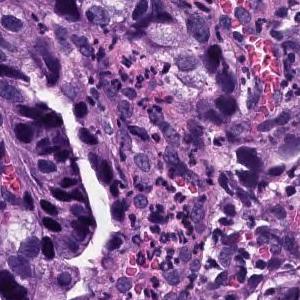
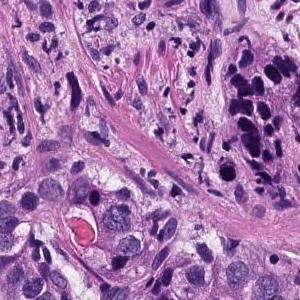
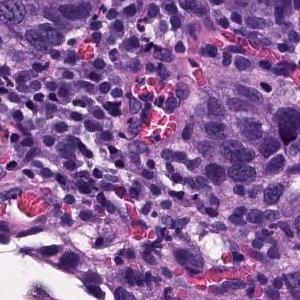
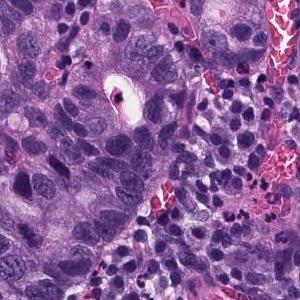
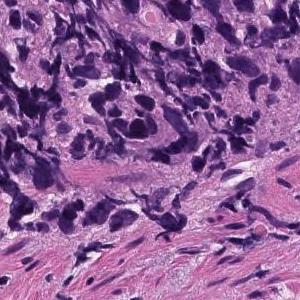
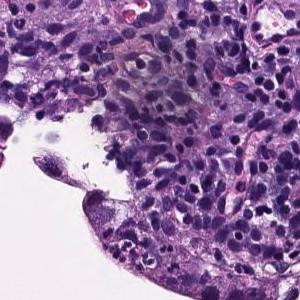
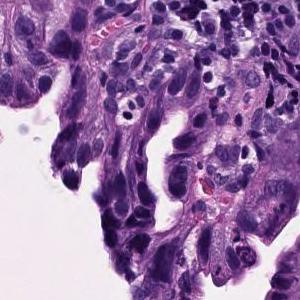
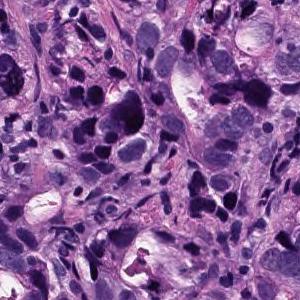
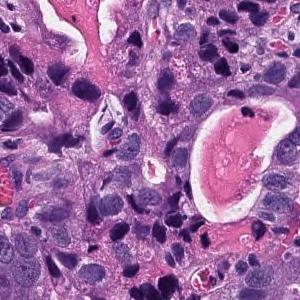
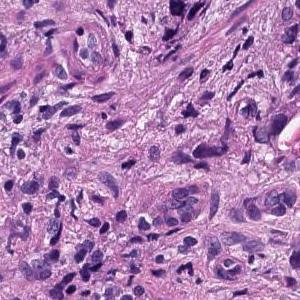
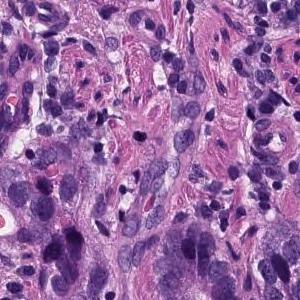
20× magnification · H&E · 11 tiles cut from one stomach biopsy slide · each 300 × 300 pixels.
Pathology report for the biopsy slide these tiles were cut from. The report and the diagnosis describe the slide as a whole, so these tiles may not show every feature named and may include non-tumor tissue.
In the epithelium, tumor tissue in which medium to small irregular gland ducts fuse with each other and infiltrate the submucosa. moderately differentiated tubular adenocarcinoma
